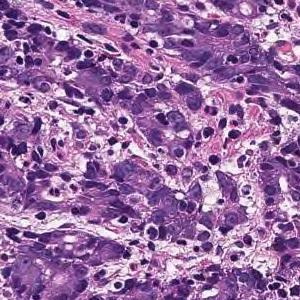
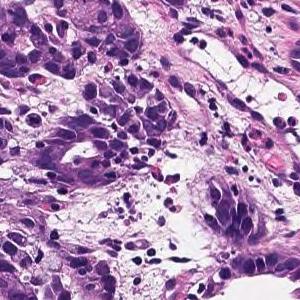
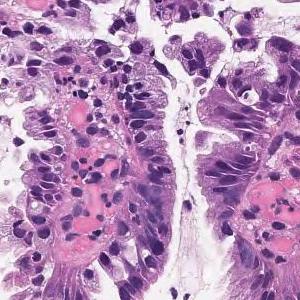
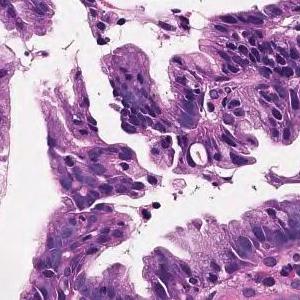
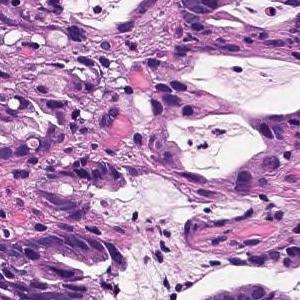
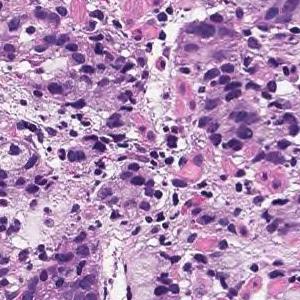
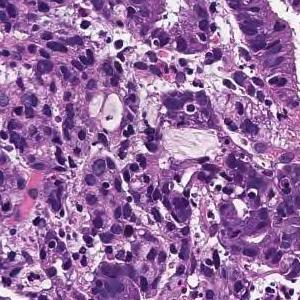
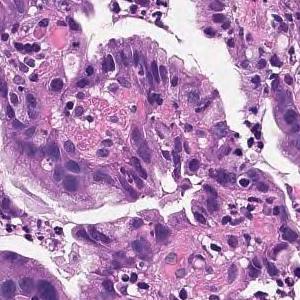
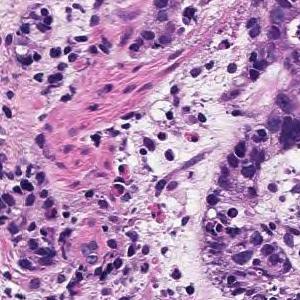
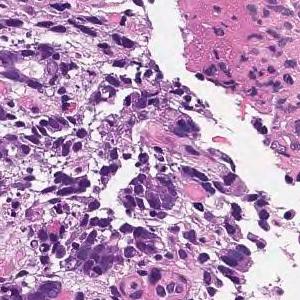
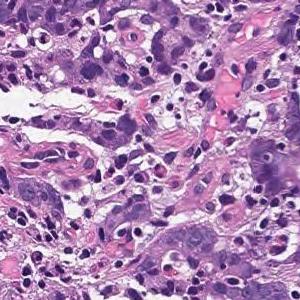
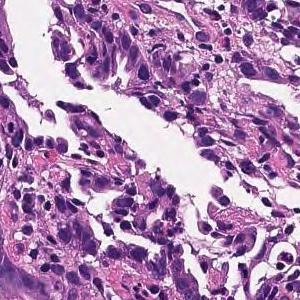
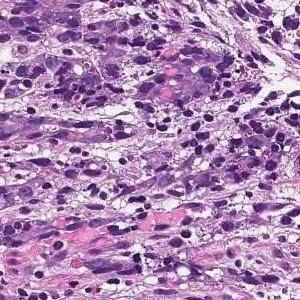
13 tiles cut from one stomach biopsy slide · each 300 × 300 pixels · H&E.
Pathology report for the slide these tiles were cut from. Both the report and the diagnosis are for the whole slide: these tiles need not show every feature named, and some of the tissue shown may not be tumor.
Tumor tissue consisting of cord-like or small, irregular glandular ducts fused and infiltrated is observed in the superficial epithelium. Poorly differentiated adenocarcinoma, non-solid type
The term "non-solid type" comes from the Japanese Classification of Gastric Carcinoma.
